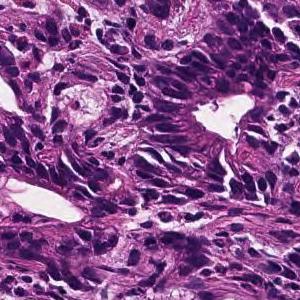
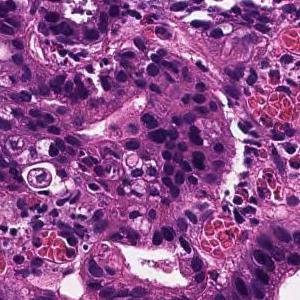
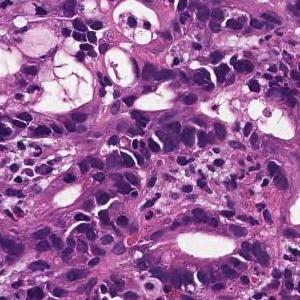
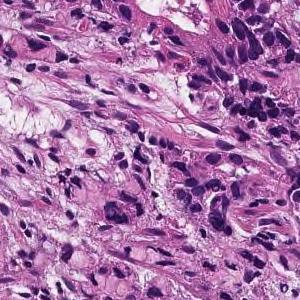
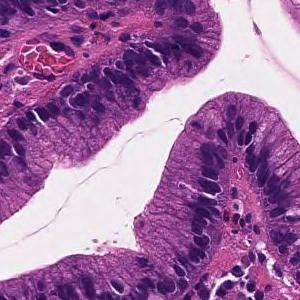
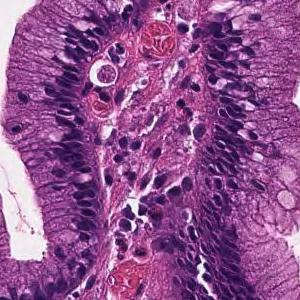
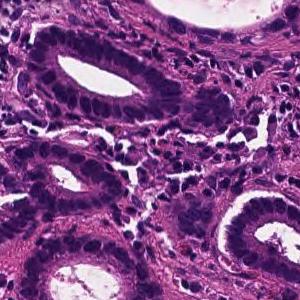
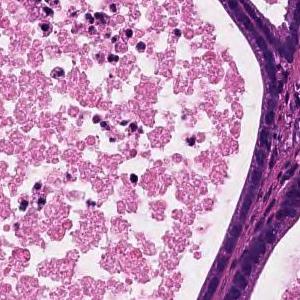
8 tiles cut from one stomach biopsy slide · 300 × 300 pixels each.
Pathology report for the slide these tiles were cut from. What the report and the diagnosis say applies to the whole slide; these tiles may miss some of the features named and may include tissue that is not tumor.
On the superficial epithelium, tumor tissue consisting of medium-sized and irregular glandular ducts partially fused and infiltrated is observed. Well to moderately differentiated tubular adenocarcinoma (well differentiated tubular adenocarcinoma-moderately differentiated tubular adenocarcinoma)
Tumor subtype: well to moderately differentiated tubular adenocarcinoma.
